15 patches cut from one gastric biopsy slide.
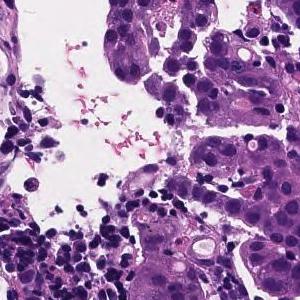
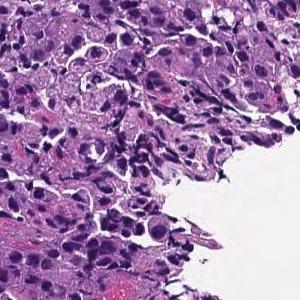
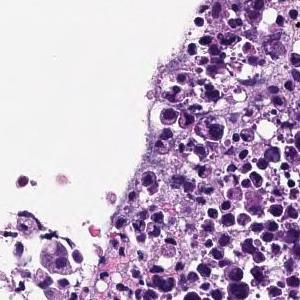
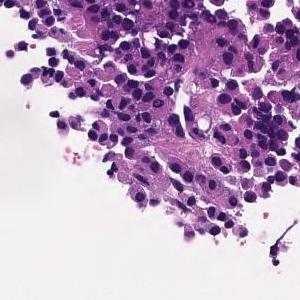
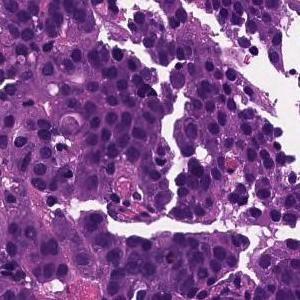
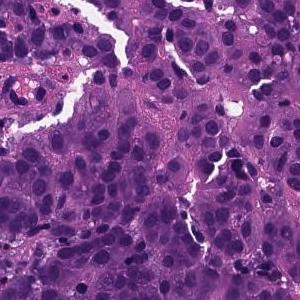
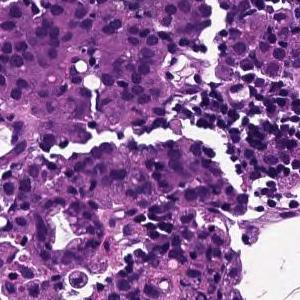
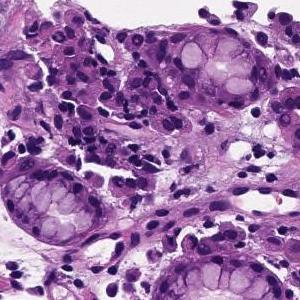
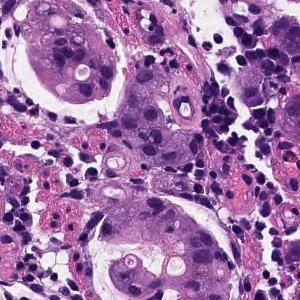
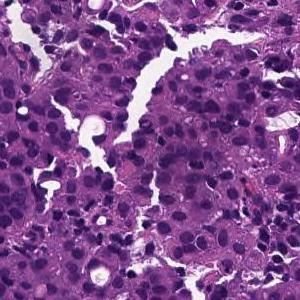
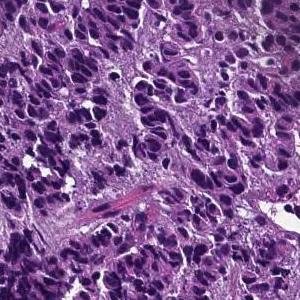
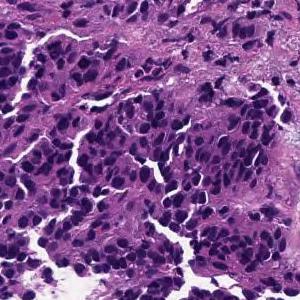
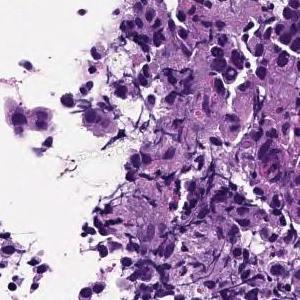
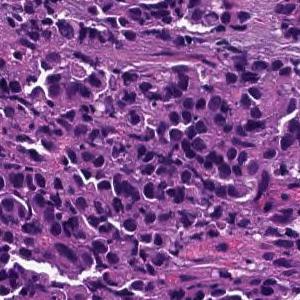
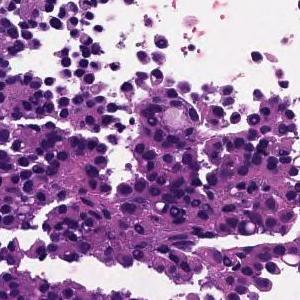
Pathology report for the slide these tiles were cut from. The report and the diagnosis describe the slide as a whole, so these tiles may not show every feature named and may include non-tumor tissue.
The superficial epithelium shows a large sheet-like shape, and some tumor tissue infiltrates with small irregular ducts. Poorly differentiated adenocarcinoma, solid-type
Subtype: Poorly differentiated adenocarcinoma, solid type, a category of the Japanese Classification of Gastric Carcinoma; in the WHO 2019 classification it is tubular adenocarcinoma, poorly differentiated.
